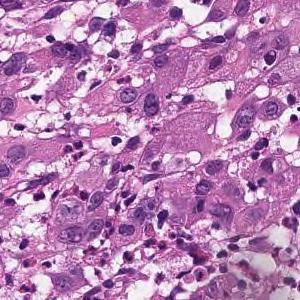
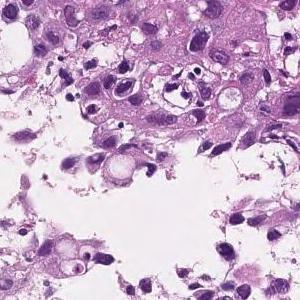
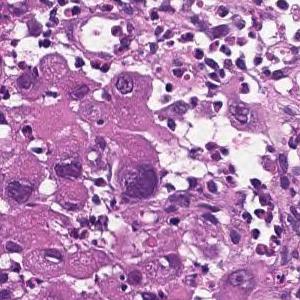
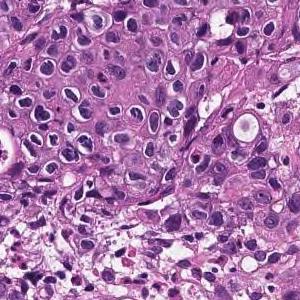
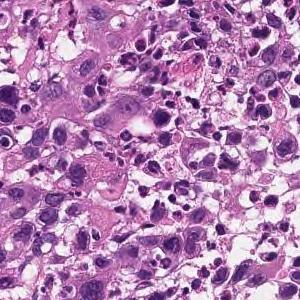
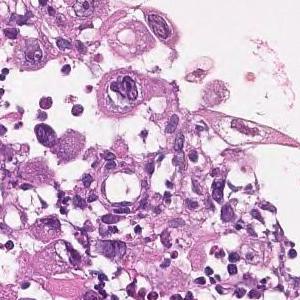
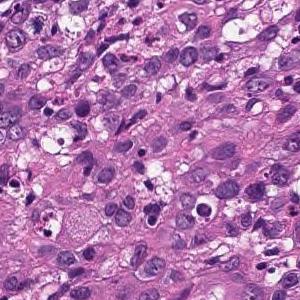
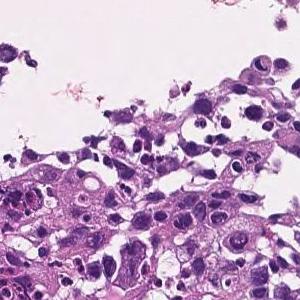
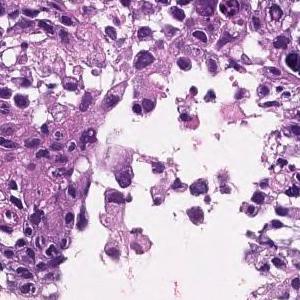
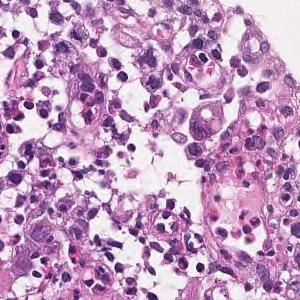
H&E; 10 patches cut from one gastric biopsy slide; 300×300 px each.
Pathology report for the slide these tiles were cut from. The findings and the diagnosis refer to the entire slide; these tiles show only part of it, possibly with non-tumor tissue, and may not show every feature named.
The superficial epithelium shows a large sheet-like shape, and some tumor tissue infiltrates with small irregular ducts. Poorly differentiated adenocarcinoma, solid-type
Histological subtype: Poorly differentiated adenocarcinoma, solid type, a category of the Japanese Classification of Gastric Carcinoma; in the WHO 2019 classification it is tubular adenocarcinoma, poorly differentiated.
